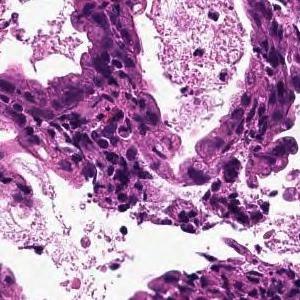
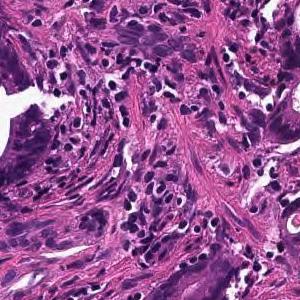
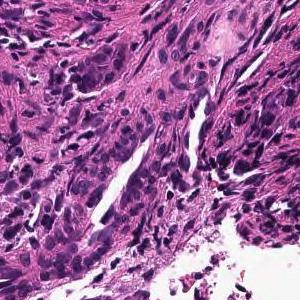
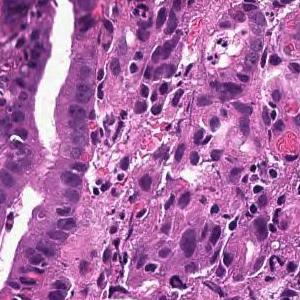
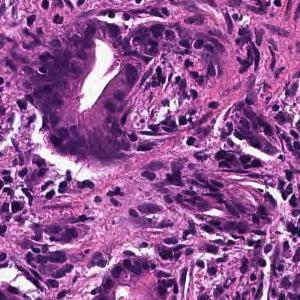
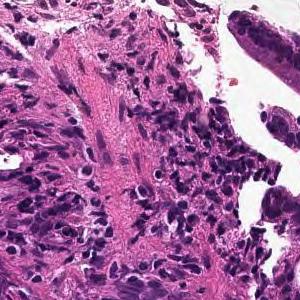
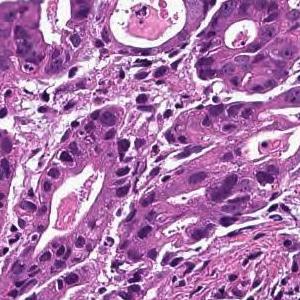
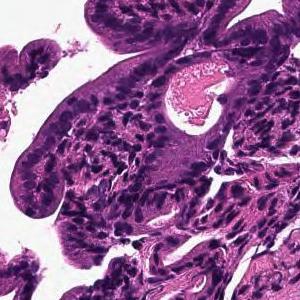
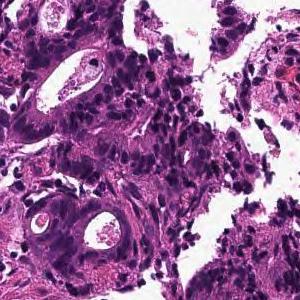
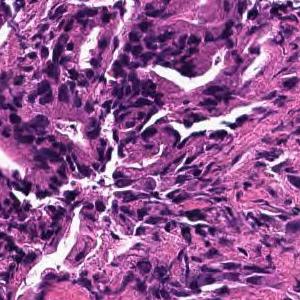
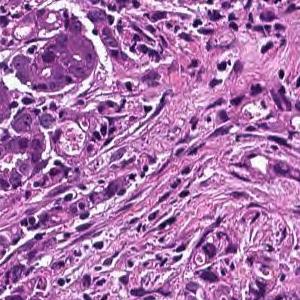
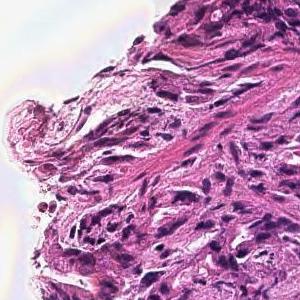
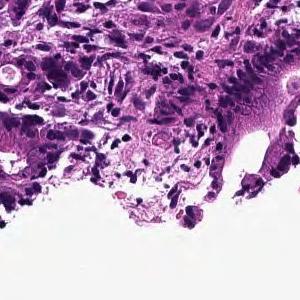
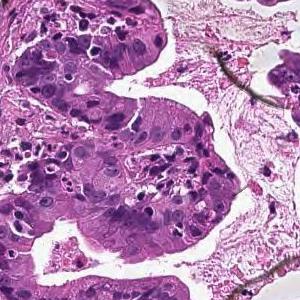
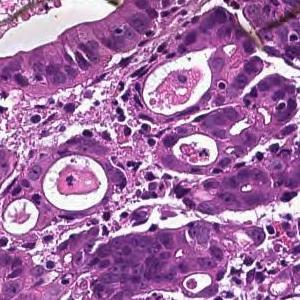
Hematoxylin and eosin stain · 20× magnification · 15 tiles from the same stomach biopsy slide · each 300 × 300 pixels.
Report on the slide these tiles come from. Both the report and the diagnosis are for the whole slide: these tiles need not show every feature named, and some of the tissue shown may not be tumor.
In the superficial epithelium, tumor tissue that invades by forming medium-sized to small, irregular ducts is observed. moderately differentiated tubular adenocarcinoma.
